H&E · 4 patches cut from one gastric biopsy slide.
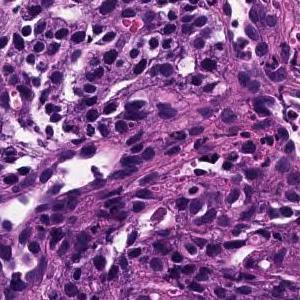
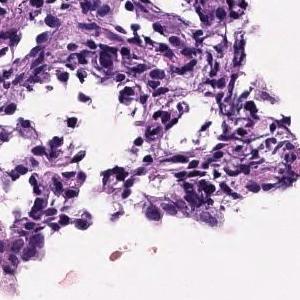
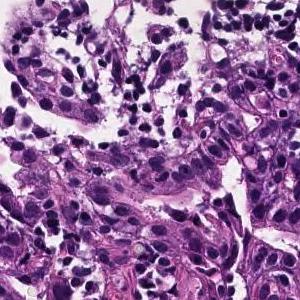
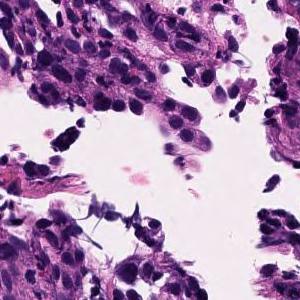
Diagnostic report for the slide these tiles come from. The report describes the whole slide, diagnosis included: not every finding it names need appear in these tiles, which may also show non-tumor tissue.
Medium to small, irregular glandular ducts are formed in the superficial epithelium, and in some cases, the glandular ducts are fused to show solid alveolar lesions and infiltrating tumor tissue is observed. Moderately to poorly differentiated adenocarcinoma.
